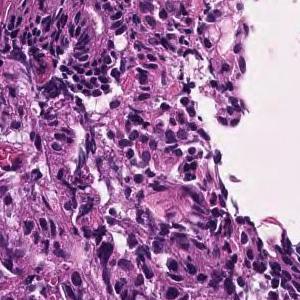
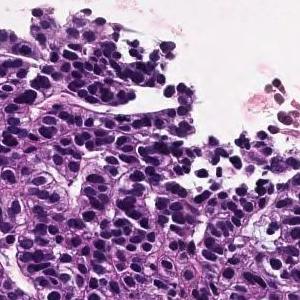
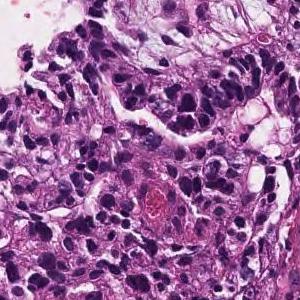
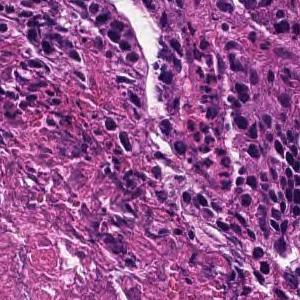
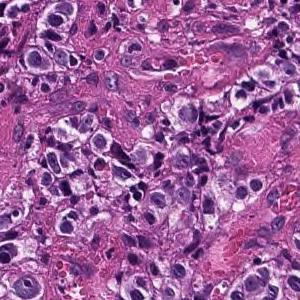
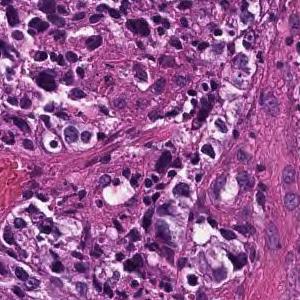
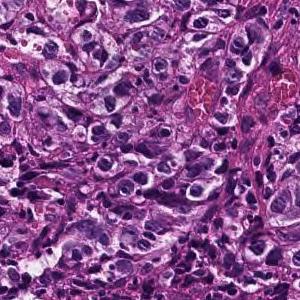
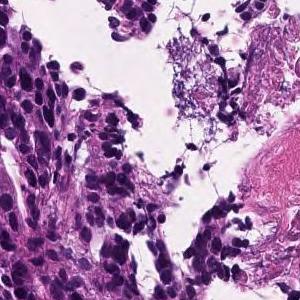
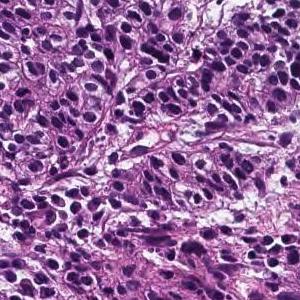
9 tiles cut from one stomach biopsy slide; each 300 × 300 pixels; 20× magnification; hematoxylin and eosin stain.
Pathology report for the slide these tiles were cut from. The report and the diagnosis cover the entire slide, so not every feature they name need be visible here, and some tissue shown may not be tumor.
In the superficial epithelium, tumor tissue that invades by forming medium-sized to small, irregular ducts is observed. moderately differentiated tubular adenocarcinoma.
